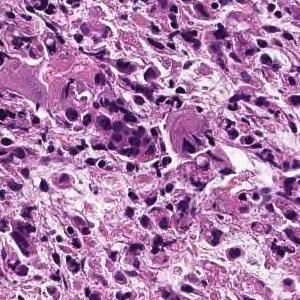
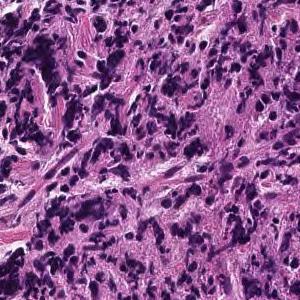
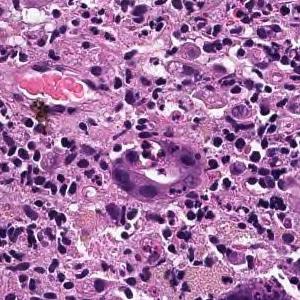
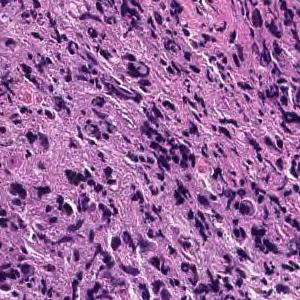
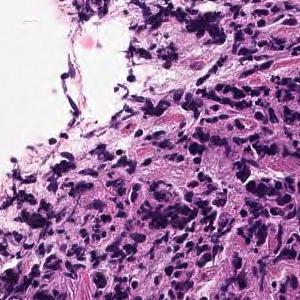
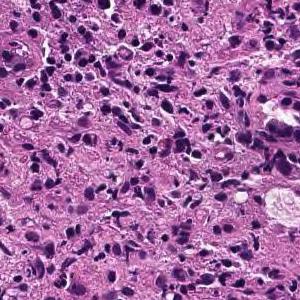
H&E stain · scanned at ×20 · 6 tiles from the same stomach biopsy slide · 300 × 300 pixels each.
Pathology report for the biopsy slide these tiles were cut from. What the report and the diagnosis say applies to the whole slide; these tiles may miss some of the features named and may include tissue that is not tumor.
Large sheet-like or diffusely infiltrating tumor tissue is found in the superficial epithelium. Poorly differentiated adenocarcinoma, solid-type
Histological subtype: Poorly differentiated adenocarcinoma, solid type. This name comes from the Japanese Classification of Gastric Carcinoma; the WHO 2019 classification calls it tubular adenocarcinoma, poorly differentiated.
